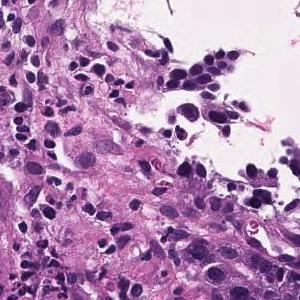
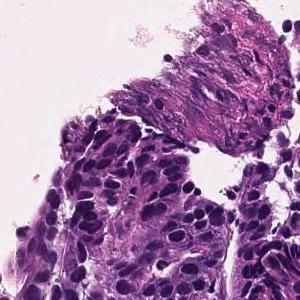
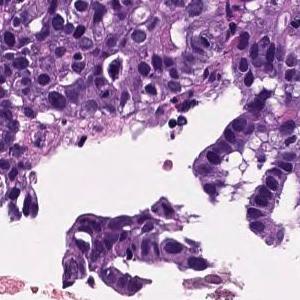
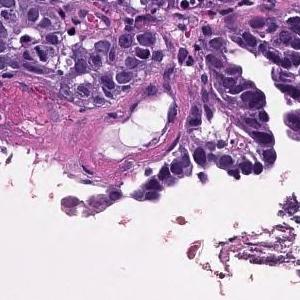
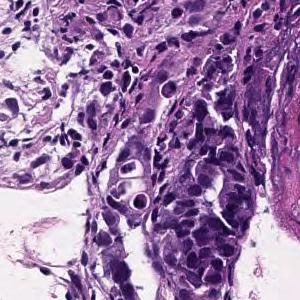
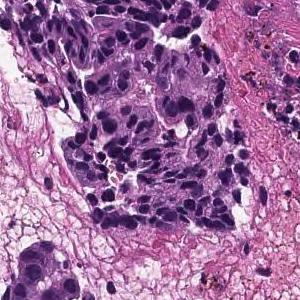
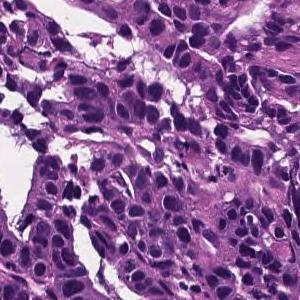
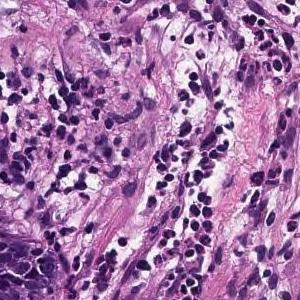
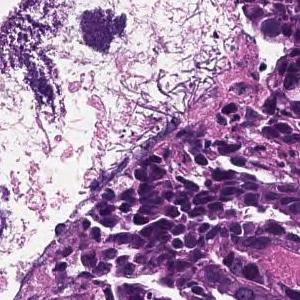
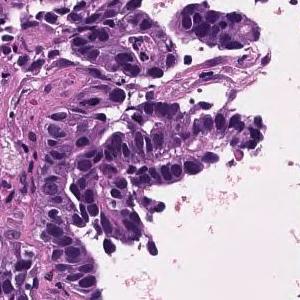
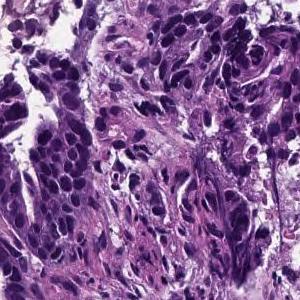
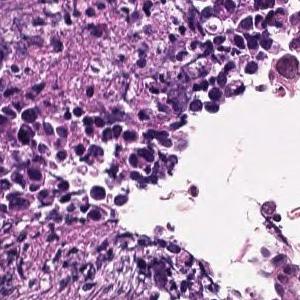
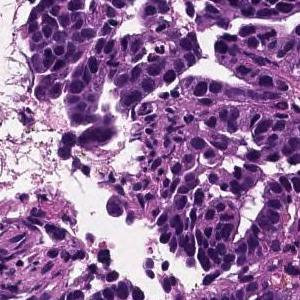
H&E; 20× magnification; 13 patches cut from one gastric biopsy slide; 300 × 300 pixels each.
Pathology report for the slide these tiles were cut from. Both the report and the diagnosis are for the whole slide: these tiles need not show every feature named, and some of the tissue shown may not be tumor.
Tumor cells are large, highly columnar, large club-shaped nuclei, and are associated with chromatin aggregation. Papillary adenocarcinoma.
